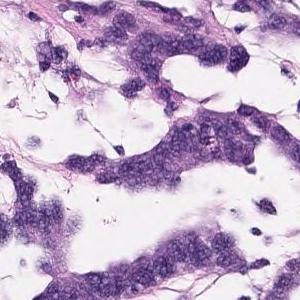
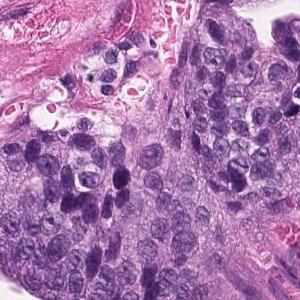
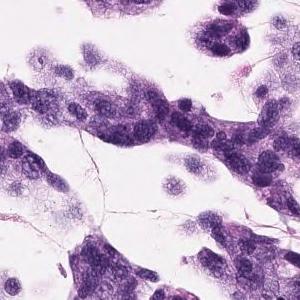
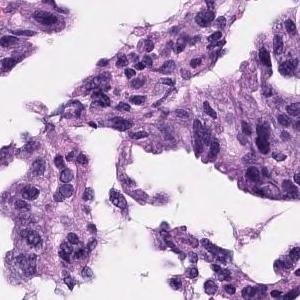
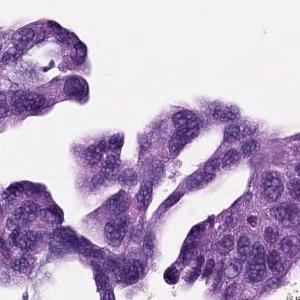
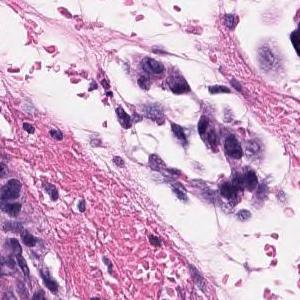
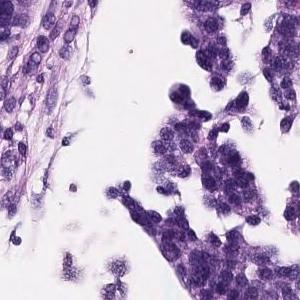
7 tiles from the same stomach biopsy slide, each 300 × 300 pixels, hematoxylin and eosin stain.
Pathology report for the biopsy slide these tiles were cut from. The findings and the diagnosis refer to the entire slide; these tiles show only part of it, possibly with non-tumor tissue, and may not show every feature named.
Tumor cells are large, highly columnar, large club-shaped nuclei, and are associated with chromatin aggregation. Papillary adenocarcinoma.
